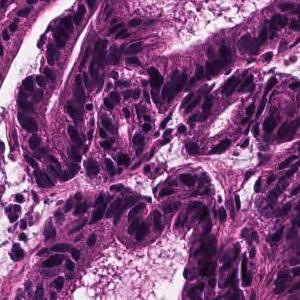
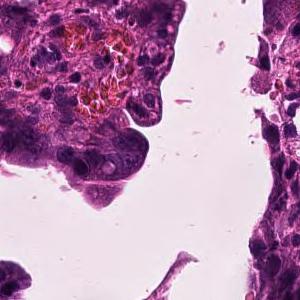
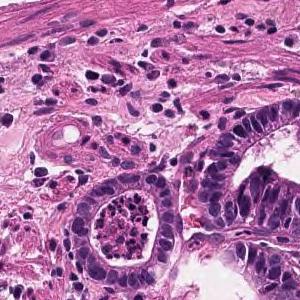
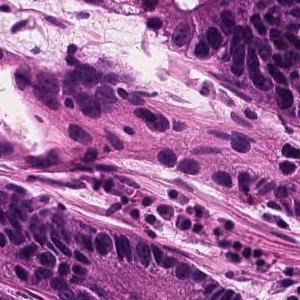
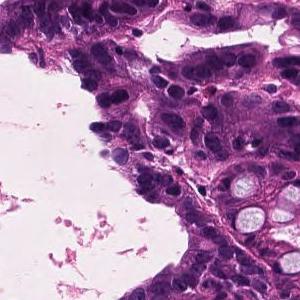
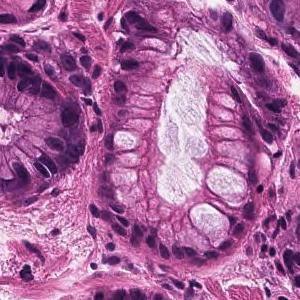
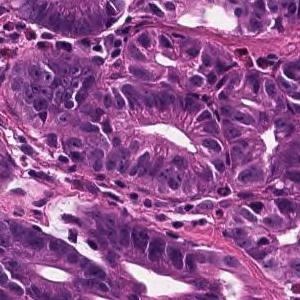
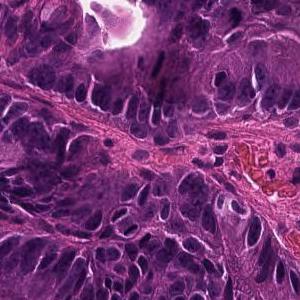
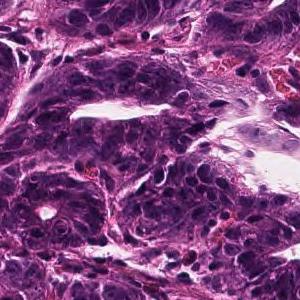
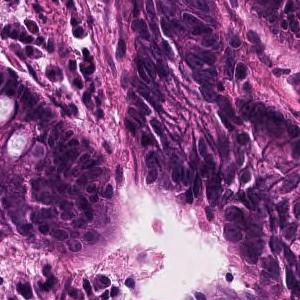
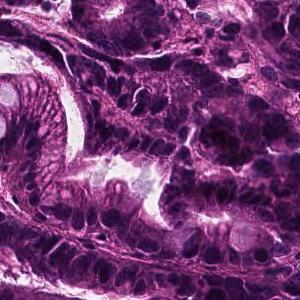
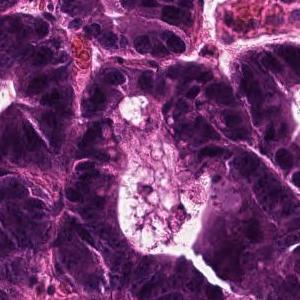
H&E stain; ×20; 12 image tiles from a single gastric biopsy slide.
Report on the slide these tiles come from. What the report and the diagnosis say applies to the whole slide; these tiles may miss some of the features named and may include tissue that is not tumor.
In the superficial epithelium, tumor tissue that invades by forming medium-sized to small, irregular ducts is observed. Well differentiated tubular adenocarcinoma.
